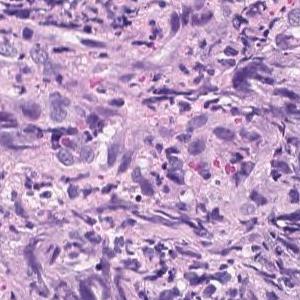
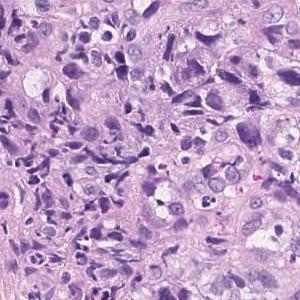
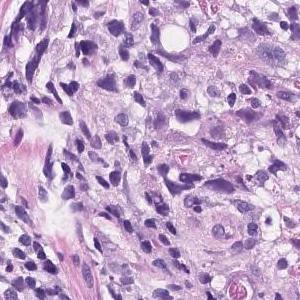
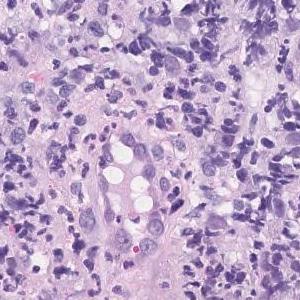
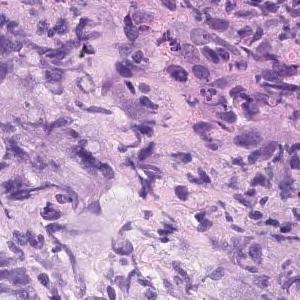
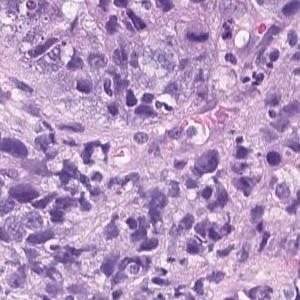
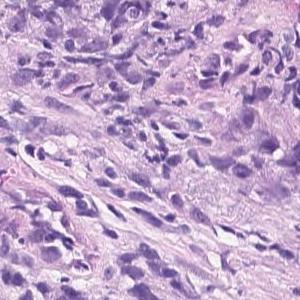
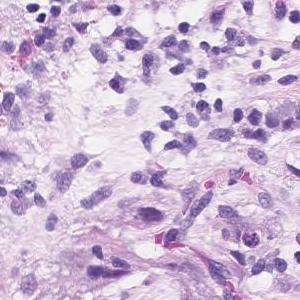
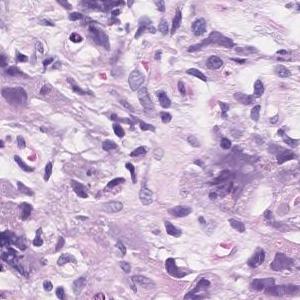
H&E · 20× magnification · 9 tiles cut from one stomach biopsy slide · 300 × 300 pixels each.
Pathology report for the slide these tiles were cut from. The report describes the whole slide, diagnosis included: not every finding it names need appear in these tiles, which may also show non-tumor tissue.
Atypical epithelial cells infiltrating and proliferating diffusely or while forming vesicles is observed. Poorly differentiated adenocarcinoma (poorly differentiated adenocarcinoma, solid type moderately differentiated tubular adenocarcinoma)
Labeled in the dataset as poorly differentiated adenocarcinoma, solid type. This name comes from the Japanese Classification of Gastric Carcinoma; the WHO 2019 classification calls it tubular adenocarcinoma, poorly differentiated.
